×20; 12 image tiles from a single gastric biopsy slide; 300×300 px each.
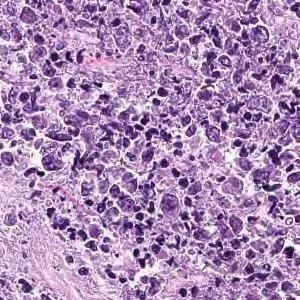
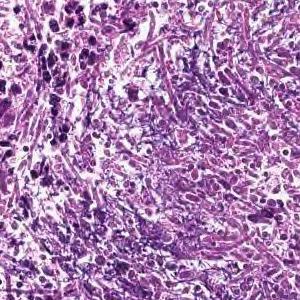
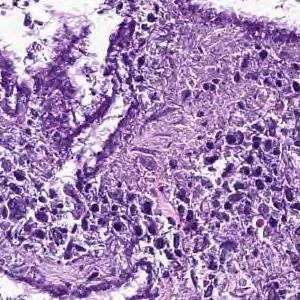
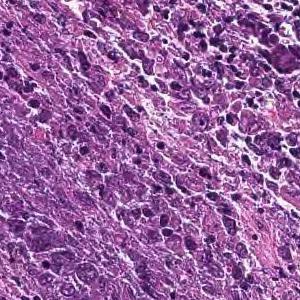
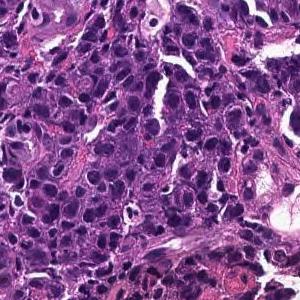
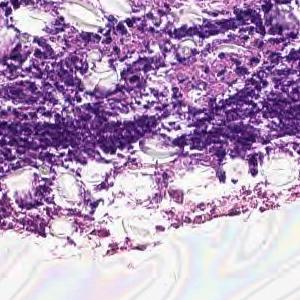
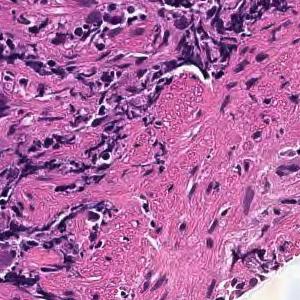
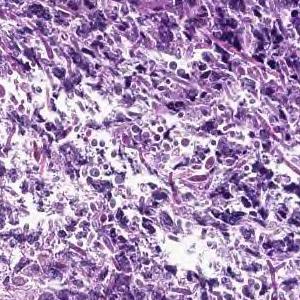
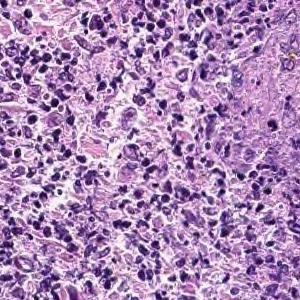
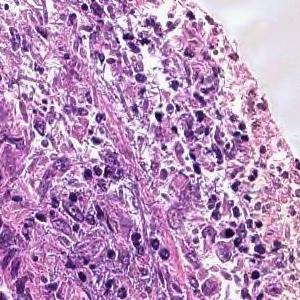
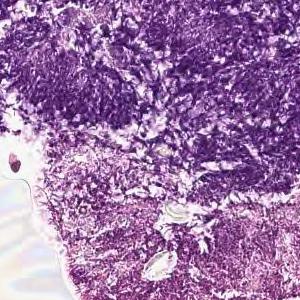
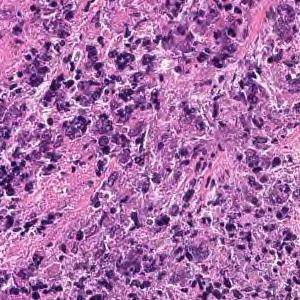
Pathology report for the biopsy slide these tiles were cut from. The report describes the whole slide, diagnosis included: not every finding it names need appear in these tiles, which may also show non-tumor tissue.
Cancers with polygonal nuclei do not show glandular formation and are densely, in part, cord-like and proliferate. Poorly differentiated adenocarcinoma
Subtype: Poorly differentiated adenocarcinoma, non-solid type.
The non-solid type named here is a Japanese Classification of Gastric Carcinoma category.
